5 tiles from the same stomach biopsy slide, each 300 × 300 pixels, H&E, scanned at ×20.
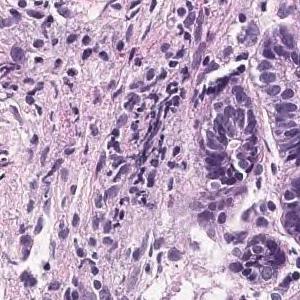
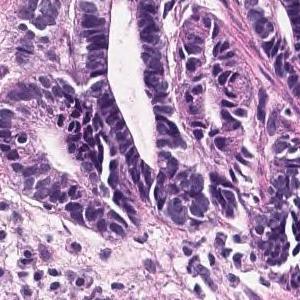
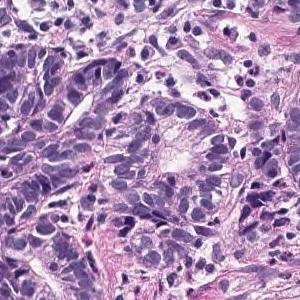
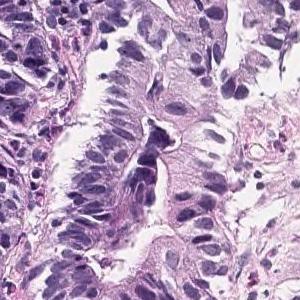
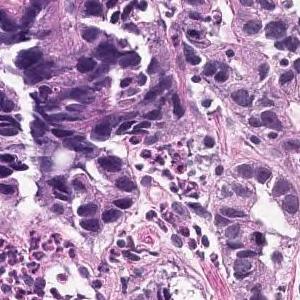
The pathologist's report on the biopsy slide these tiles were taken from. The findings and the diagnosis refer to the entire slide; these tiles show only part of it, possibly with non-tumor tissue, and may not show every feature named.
In the superficial epithelium, tumor tissue that invades by forming medium-sized to small, irregular ducts is observed. Well differentiated tubular adenocarcinoma.
